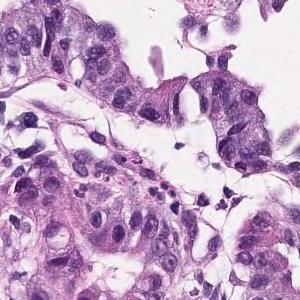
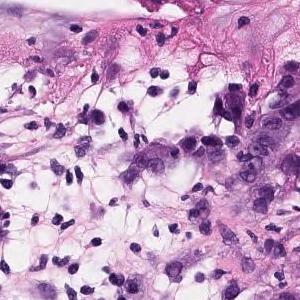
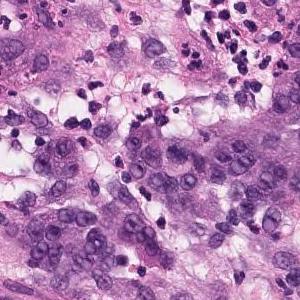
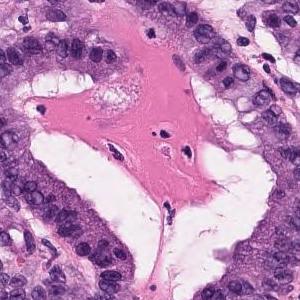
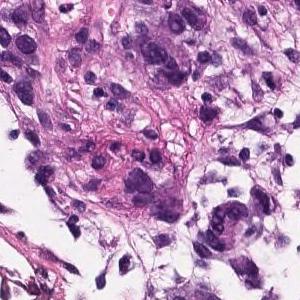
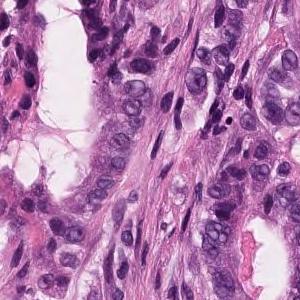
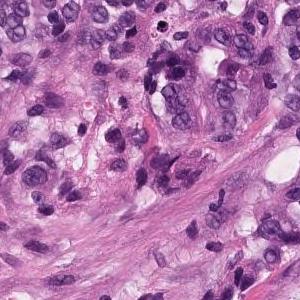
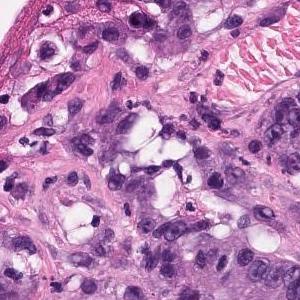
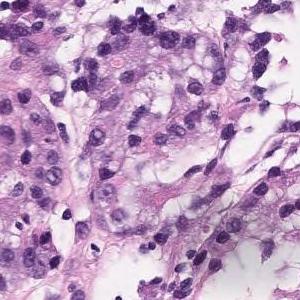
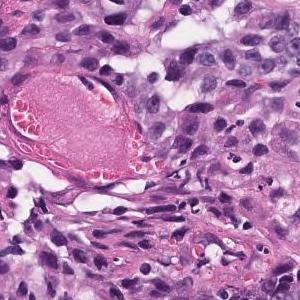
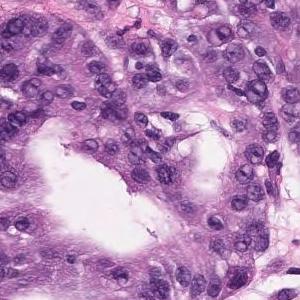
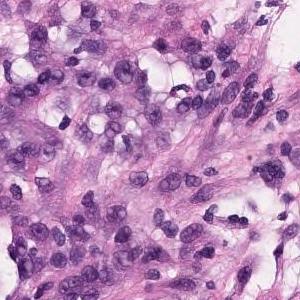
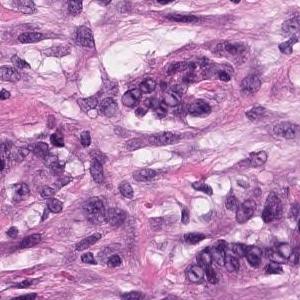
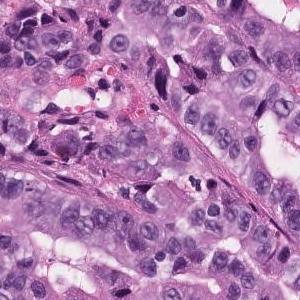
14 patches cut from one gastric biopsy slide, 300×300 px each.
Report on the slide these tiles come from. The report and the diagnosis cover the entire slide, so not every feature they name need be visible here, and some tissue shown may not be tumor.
In the superficial epithelium, tumor tissue that invades by forming medium-sized to small, irregular ducts is observed. Moderately differentiated adenocarcinoma.
Histological subtype: Moderately differentiated tubular adenocarcinoma.
